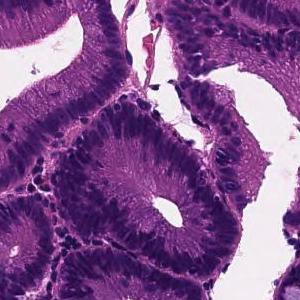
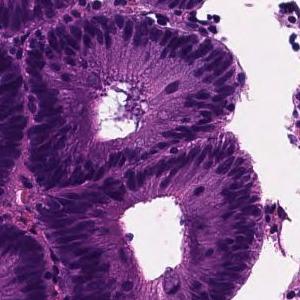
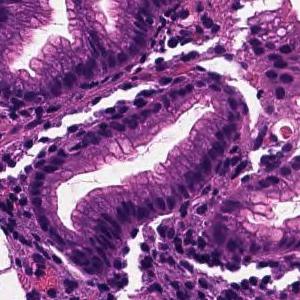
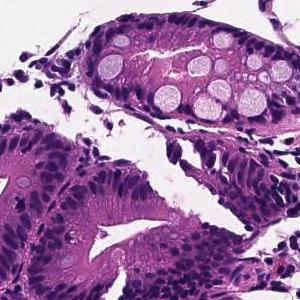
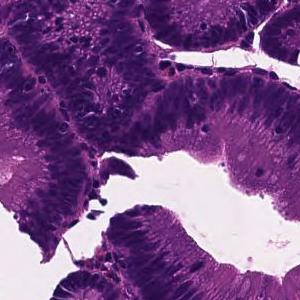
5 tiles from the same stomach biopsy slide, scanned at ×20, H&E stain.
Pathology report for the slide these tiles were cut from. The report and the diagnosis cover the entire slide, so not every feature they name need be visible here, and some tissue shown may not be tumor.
Tumor tissue in which medium to small irregular ducts infiltrate and proliferate in the submucosa can be seen in the epithelium. Well differentiated tubular adenocarcinoma
